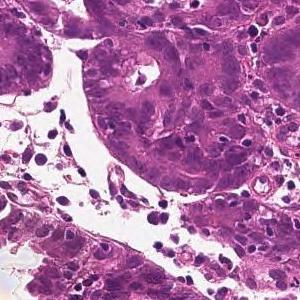
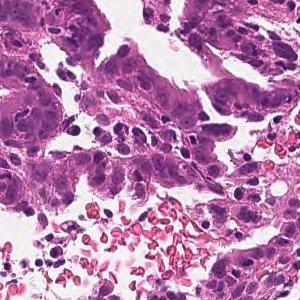
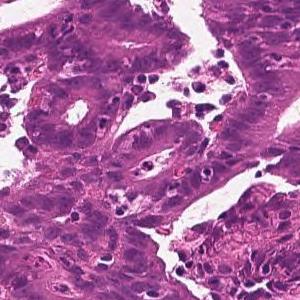
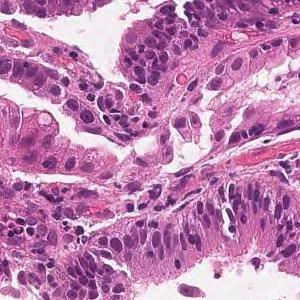
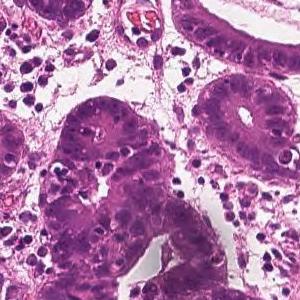
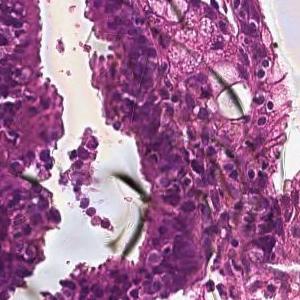
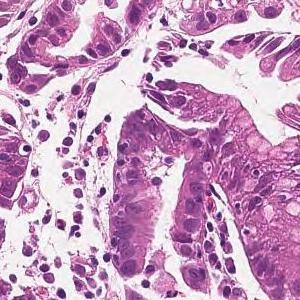
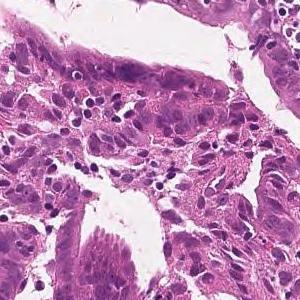
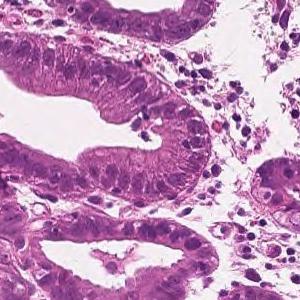
9 tiles cut from one stomach biopsy slide.
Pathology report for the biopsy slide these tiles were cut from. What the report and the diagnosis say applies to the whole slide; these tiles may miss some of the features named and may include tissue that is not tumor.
On the superficial epithelium, tumor tissue is found in which medium-sized irregular gland ducts fuse with each other and infiltrate. moderately differentiated tubular adenocarcinoma
